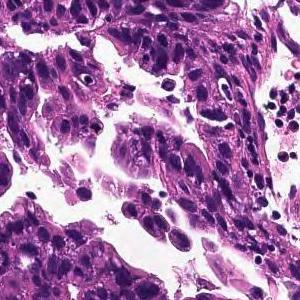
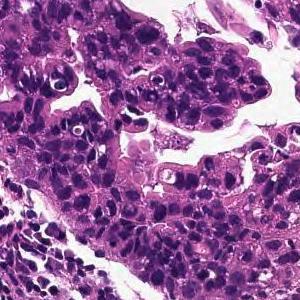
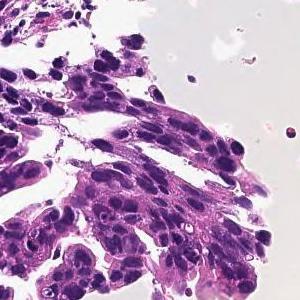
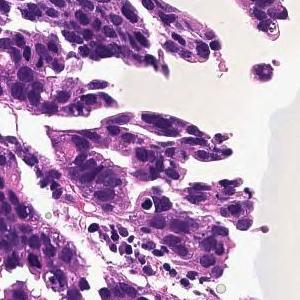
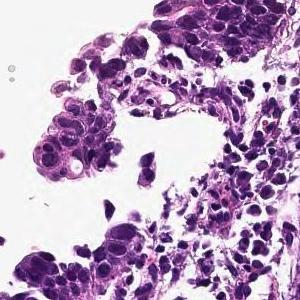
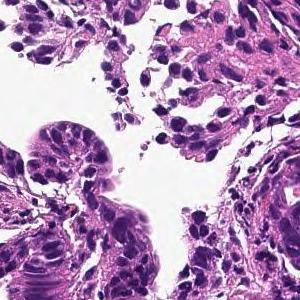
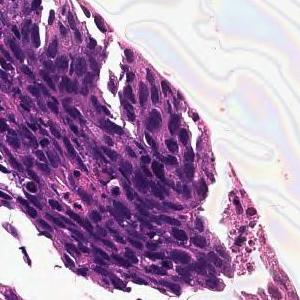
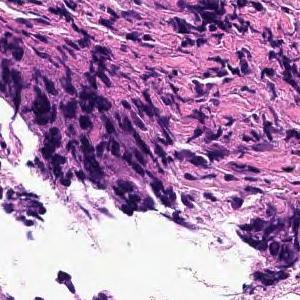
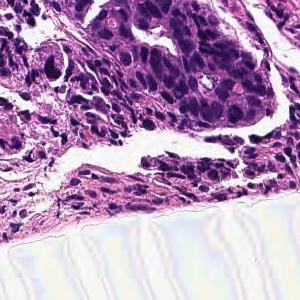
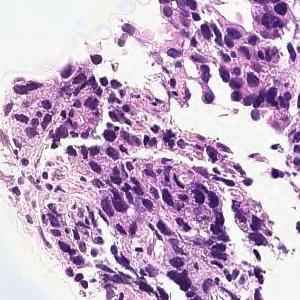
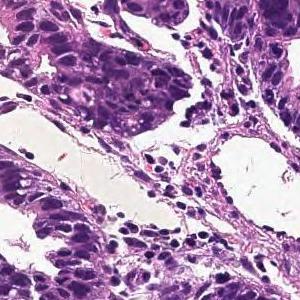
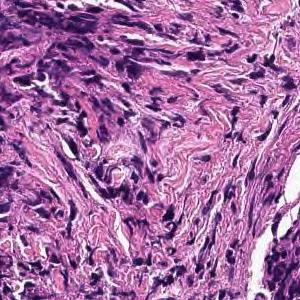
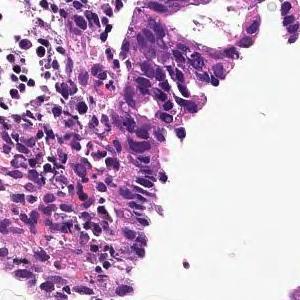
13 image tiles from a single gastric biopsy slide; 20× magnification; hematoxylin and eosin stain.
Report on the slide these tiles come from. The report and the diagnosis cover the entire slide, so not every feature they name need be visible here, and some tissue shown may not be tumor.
In the superficial epithelium, tumor tissue that invades by forming medium-sized to small, irregular ducts is observed. moderately differentiated tubular adenocarcinoma.
